20× magnification · hematoxylin and eosin stain · 13 image tiles from a single gastric biopsy slide.
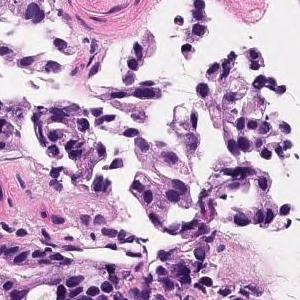
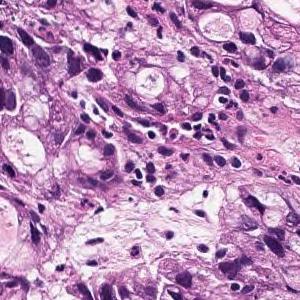
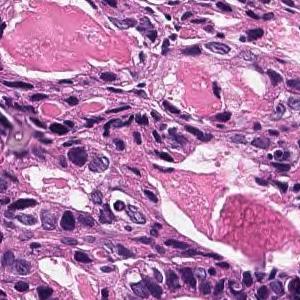
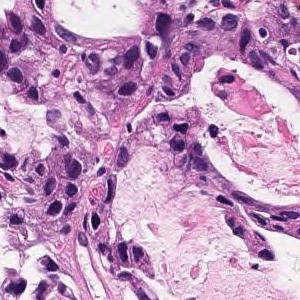
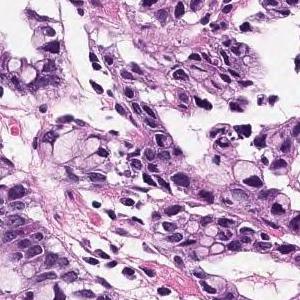
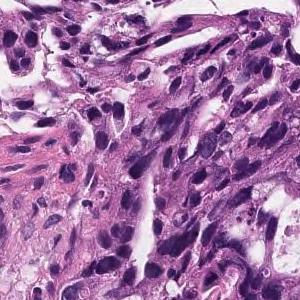
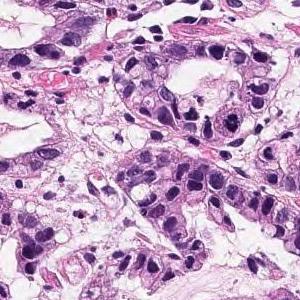
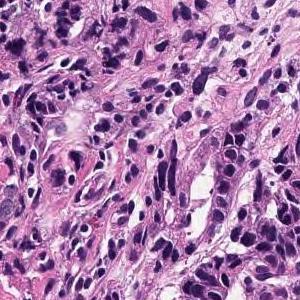
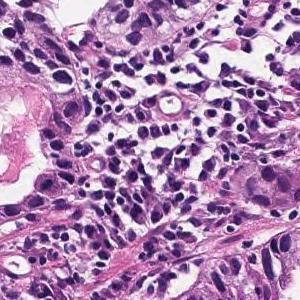
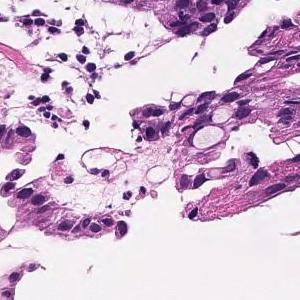
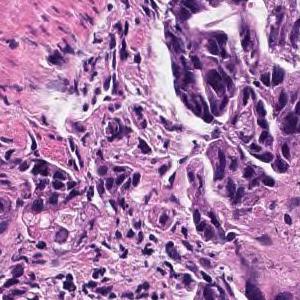
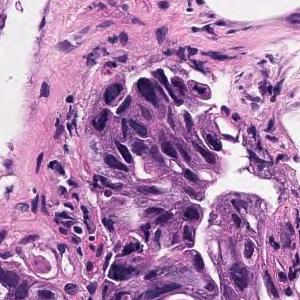
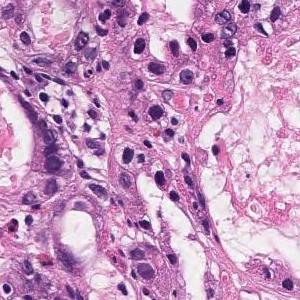
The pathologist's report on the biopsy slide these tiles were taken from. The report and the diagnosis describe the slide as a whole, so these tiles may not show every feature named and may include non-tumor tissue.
In the superficial epithelium, tumor tissue that invades by forming medium-sized to small, irregular ducts is observed. Moderately differentiated adenocarcinoma.
Histologic type: Moderately differentiated tubular adenocarcinoma.
